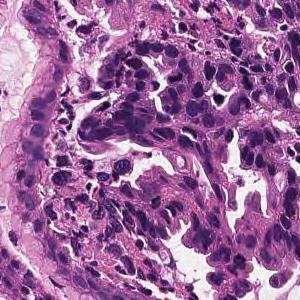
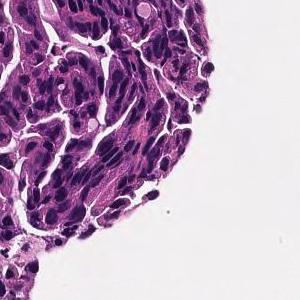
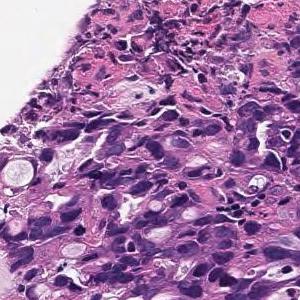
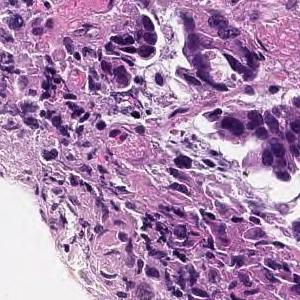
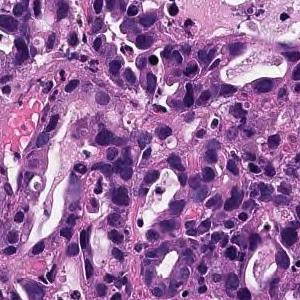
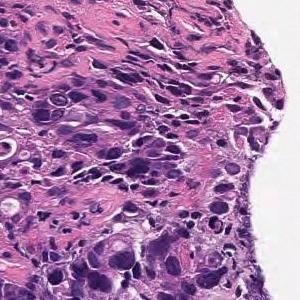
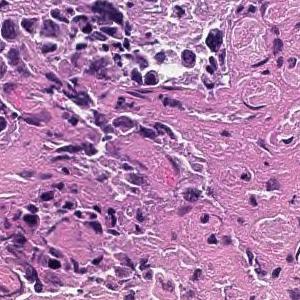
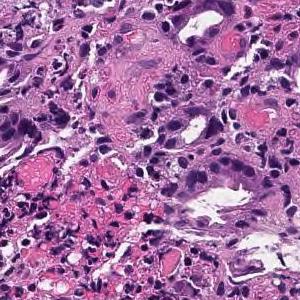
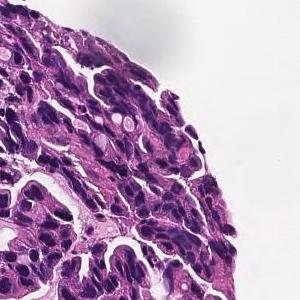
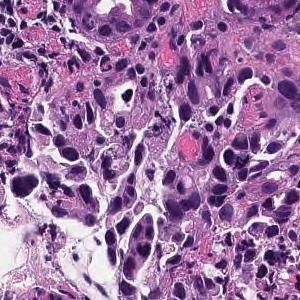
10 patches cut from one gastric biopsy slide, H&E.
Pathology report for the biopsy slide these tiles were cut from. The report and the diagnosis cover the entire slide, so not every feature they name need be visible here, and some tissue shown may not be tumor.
In the superficial epithelium, tumor tissue that invades by forming medium-sized to small, irregular ducts is observed. moderately differentiated tubular adenocarcinoma.
